8 tiles cut from one stomach biopsy slide; 300×300 px each; 20× magnification.
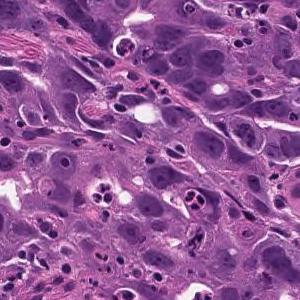
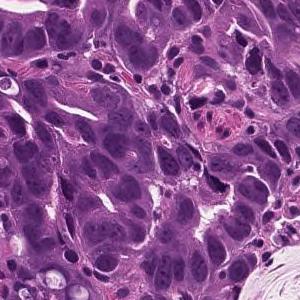
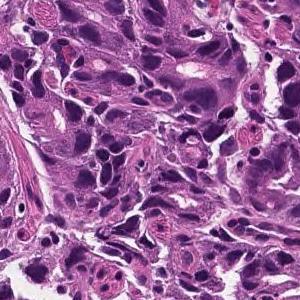
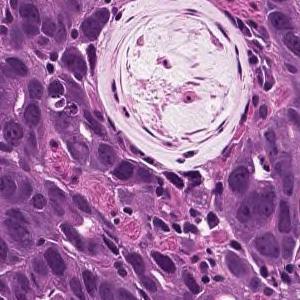
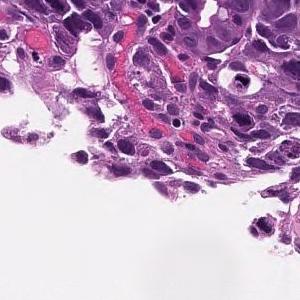
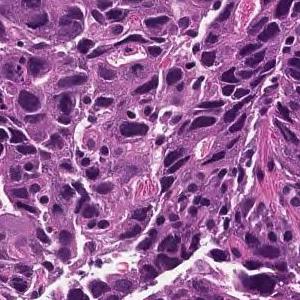
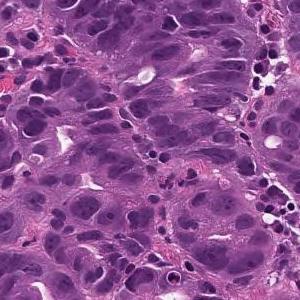
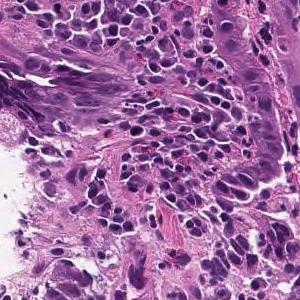
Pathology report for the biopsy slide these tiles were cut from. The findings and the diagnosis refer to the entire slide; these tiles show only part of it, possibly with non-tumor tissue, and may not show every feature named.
On the superficial epithelium, tumor tissue is found in which medium-sized irregular gland ducts fuse with each other and infiltrate. moderately differentiated tubular adenocarcinoma
